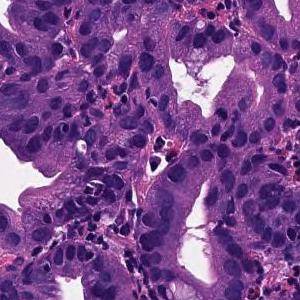
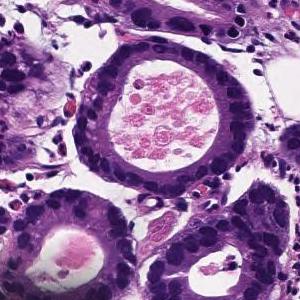
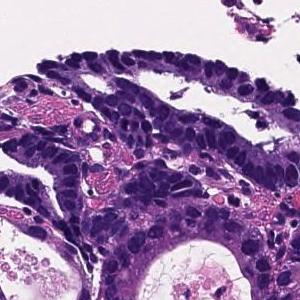
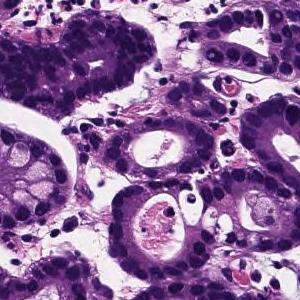
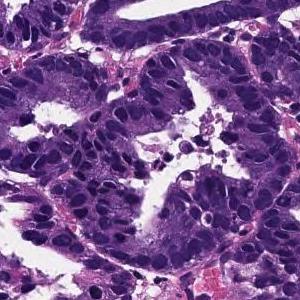
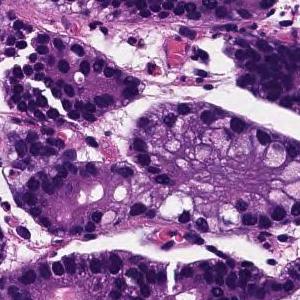
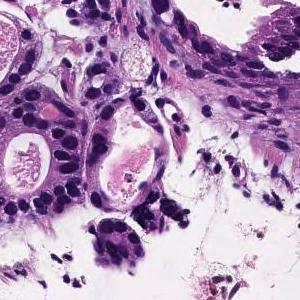
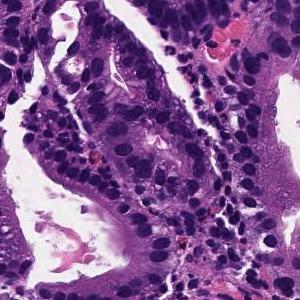
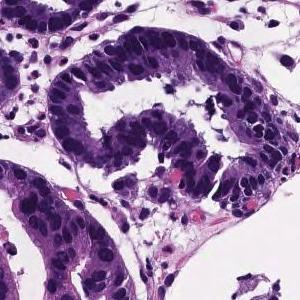
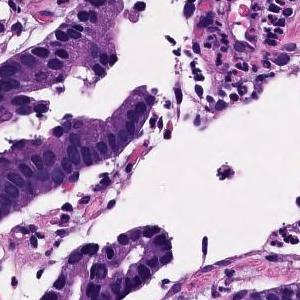
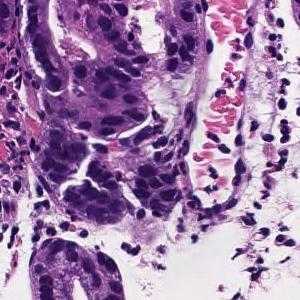
11 patches cut from one gastric biopsy slide, hematoxylin and eosin stain, scanned at ×20.
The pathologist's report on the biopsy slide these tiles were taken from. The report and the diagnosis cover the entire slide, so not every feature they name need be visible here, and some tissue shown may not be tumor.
From the superficial epithelium to the muscularis mucosae, tumor tissue consisting of medium-sized and irregular glandular ducts infiltrating is observed. Well differentiated tubular adenocarcinoma
